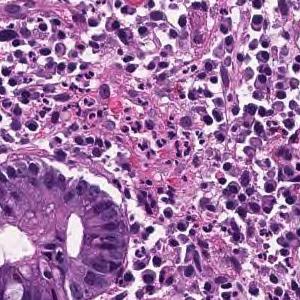
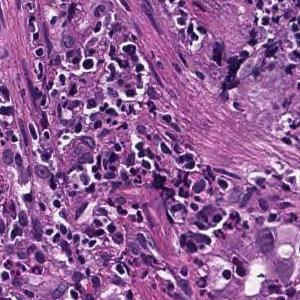
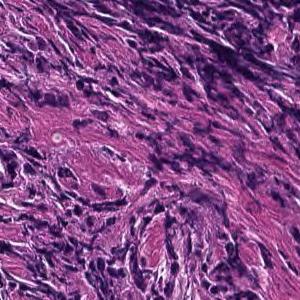
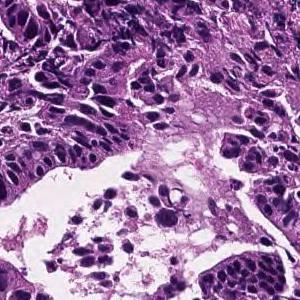
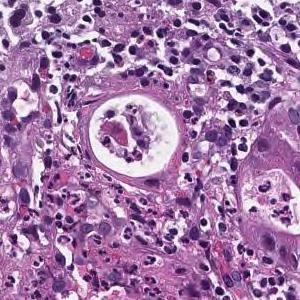
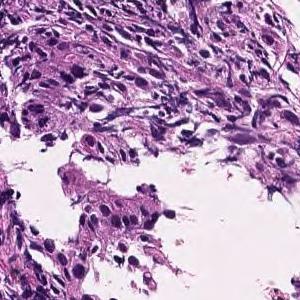
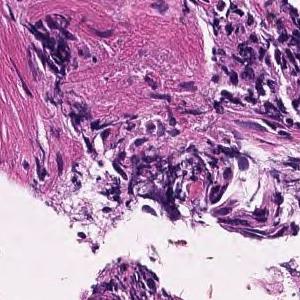
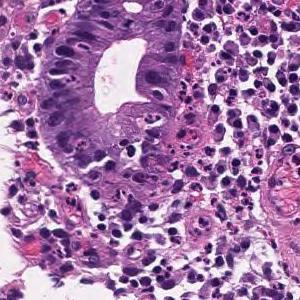
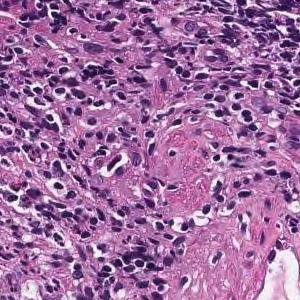
H&E · 9 tiles from the same stomach biopsy slide · 300×300 px each.
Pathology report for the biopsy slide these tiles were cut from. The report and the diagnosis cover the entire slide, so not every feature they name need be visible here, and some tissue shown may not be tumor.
On the superficial epithelium, tumor tissue consisting of large, irregular glandular ducts partially fused and infiltrated is observed. Well to moderately differentiated tubular adenocarcinoma (well differentiated tubular adenocarcinoma, moderately differentiated tubular adenocarcinoma)
Classified as well to moderately differentiated tubular adenocarcinoma.
